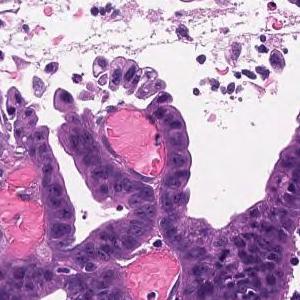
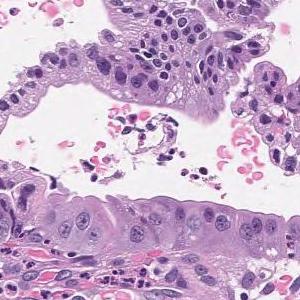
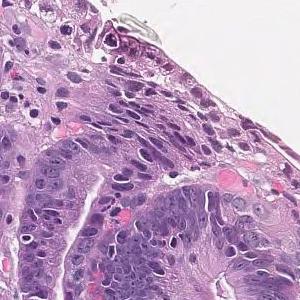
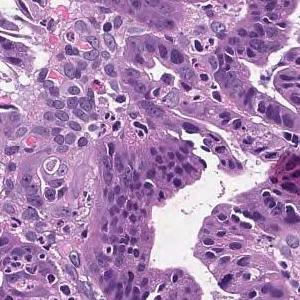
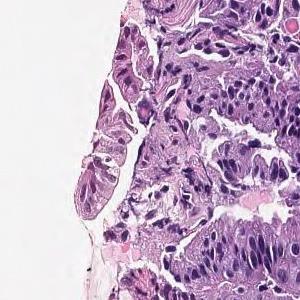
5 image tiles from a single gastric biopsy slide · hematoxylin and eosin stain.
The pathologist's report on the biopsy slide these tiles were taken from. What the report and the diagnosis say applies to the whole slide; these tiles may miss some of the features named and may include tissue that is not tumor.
Tumor cells are large, highly columnar, large club-shaped nuclei, and are associated with chromatin aggregation. Papillary adenocarcinoma.
